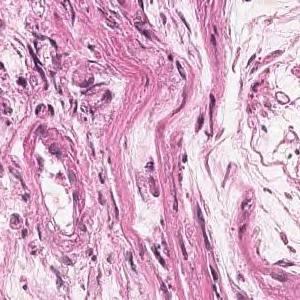
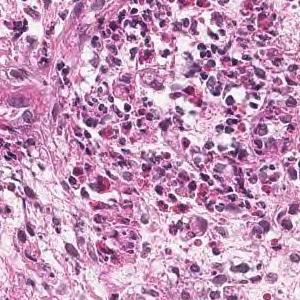
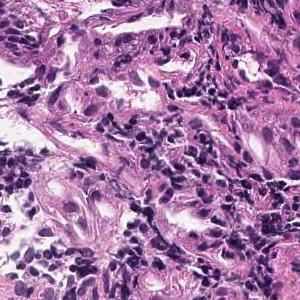
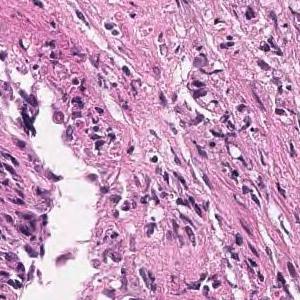
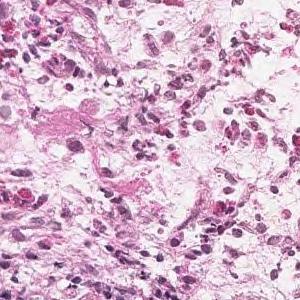
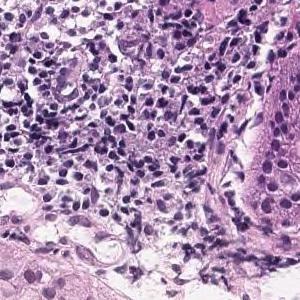
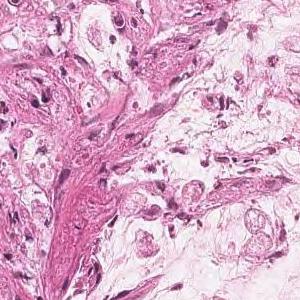
7 tiles cut from one stomach biopsy slide, hematoxylin and eosin stain.
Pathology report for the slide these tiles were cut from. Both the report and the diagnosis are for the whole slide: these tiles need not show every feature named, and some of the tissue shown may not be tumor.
Tumor tissue is observed in which atypical epithelial cells with mucus in the vesicles proliferate while being isolated. Signet ring cell carcinoma
